×20, hematoxylin and eosin stain, 8 image tiles from a single gastric biopsy slide.
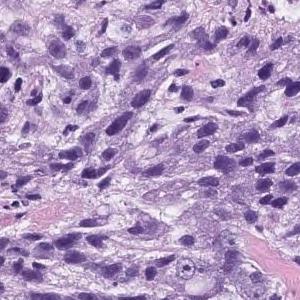
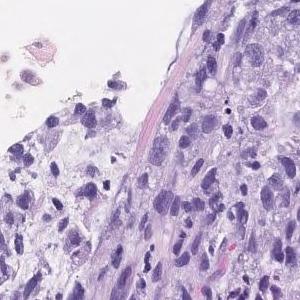
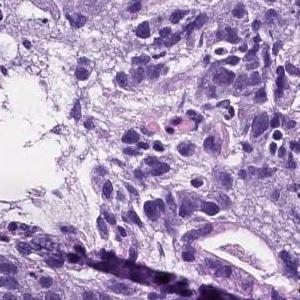
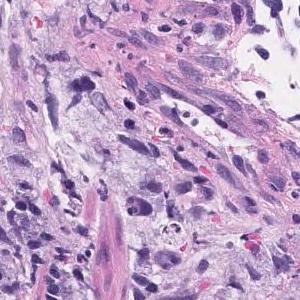
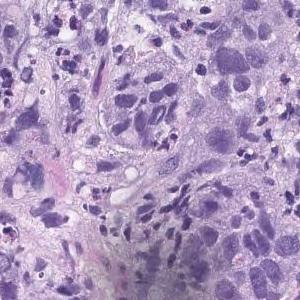
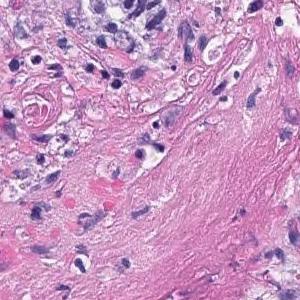
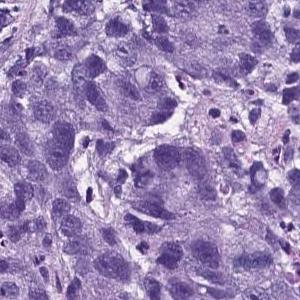
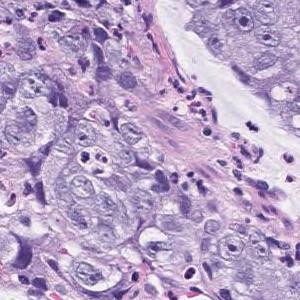
The pathologist's report on the biopsy slide these tiles were taken from. The report and the diagnosis describe the slide as a whole, so these tiles may not show every feature named and may include non-tumor tissue.
Atypical l cells with atypical nuclei forming solid vesicles or small irregular atypical ducts that proliferate in a complex manner. poorly differentiated adenocarcinoma, solid type, moderately differentiated tubular adenocarcinoma
The solid type named here is a Japanese Classification of Gastric Carcinoma category; WHO 2019 calls it tubular adenocarcinoma, poorly differentiated.
